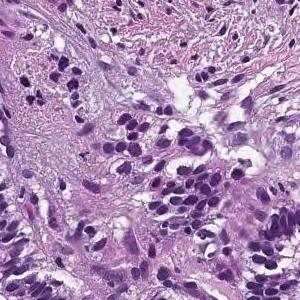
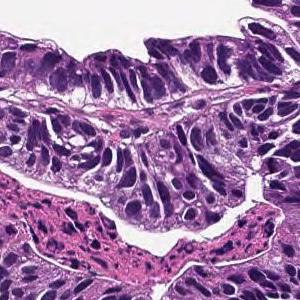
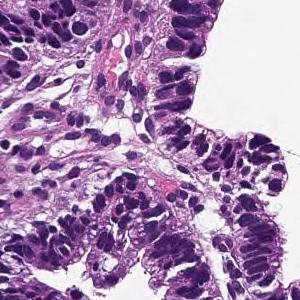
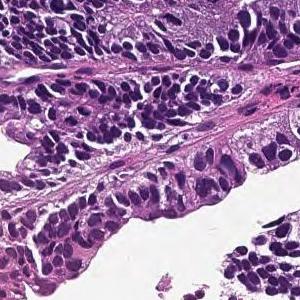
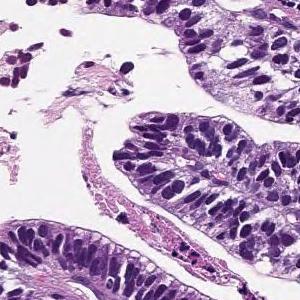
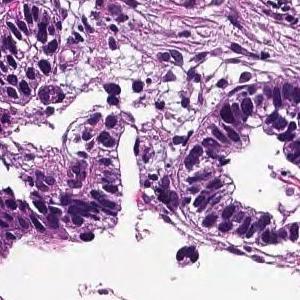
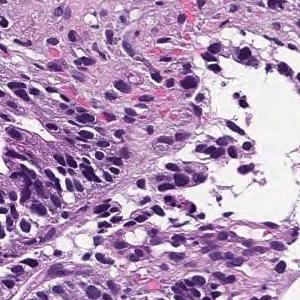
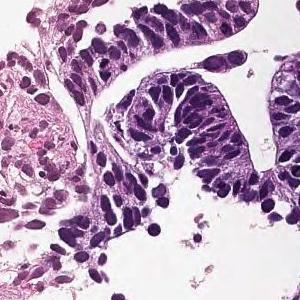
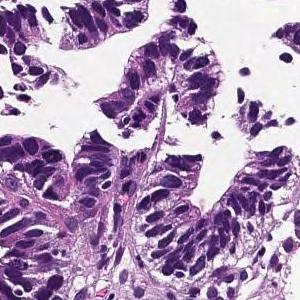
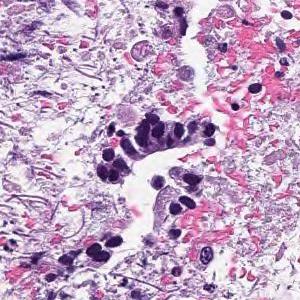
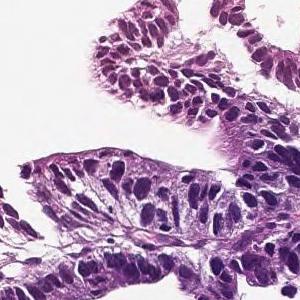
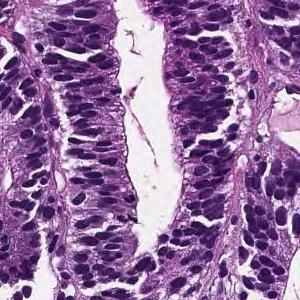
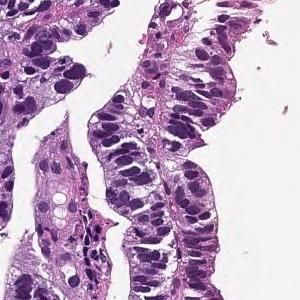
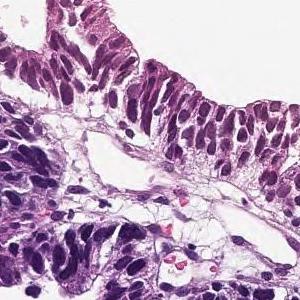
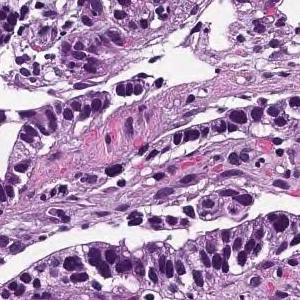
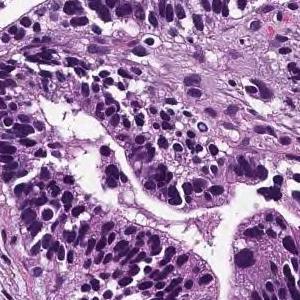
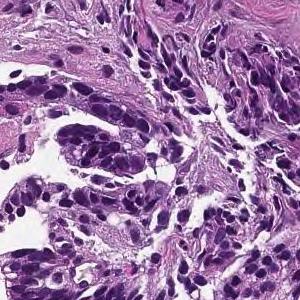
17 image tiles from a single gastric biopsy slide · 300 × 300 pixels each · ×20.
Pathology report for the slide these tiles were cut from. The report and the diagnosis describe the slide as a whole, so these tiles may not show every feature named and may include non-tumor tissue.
Tumor cells are large, highly columnar, large club-shaped nuclei, and are associated with chromatin aggregation. Papillary adenocarcinoma.
